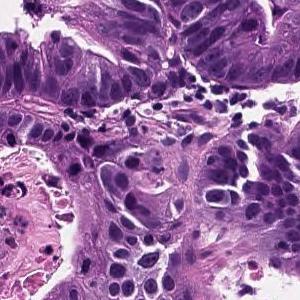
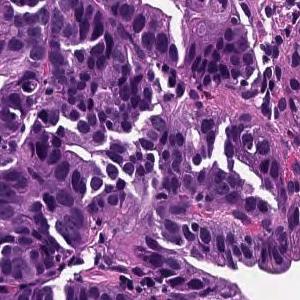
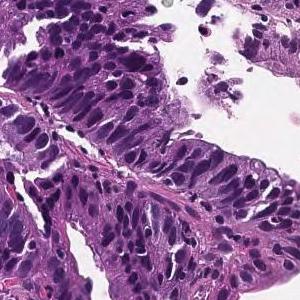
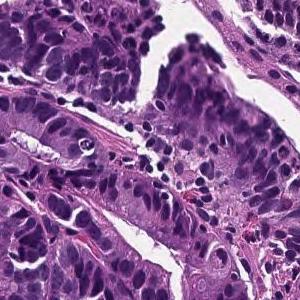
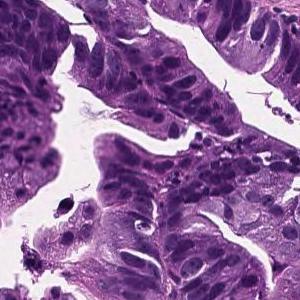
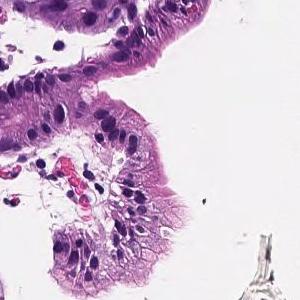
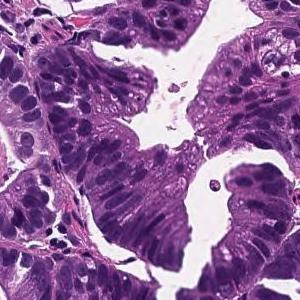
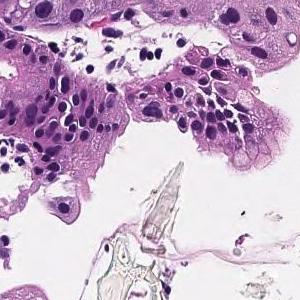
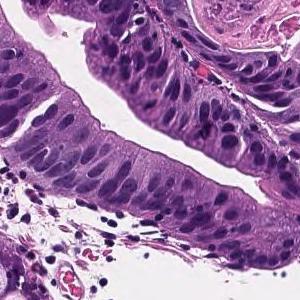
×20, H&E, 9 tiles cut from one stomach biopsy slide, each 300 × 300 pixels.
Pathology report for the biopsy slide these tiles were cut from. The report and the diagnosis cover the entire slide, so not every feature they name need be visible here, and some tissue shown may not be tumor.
Tumor cells are large, highly columnar, large club-shaped nuclei, and are associated with chromatin aggregation. Papillary adenocarcinoma.
